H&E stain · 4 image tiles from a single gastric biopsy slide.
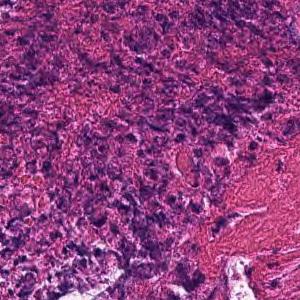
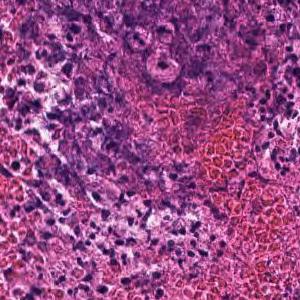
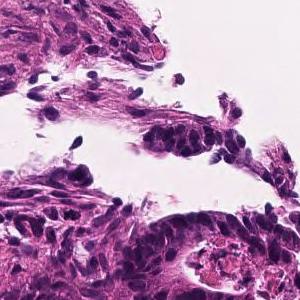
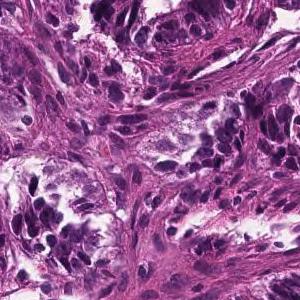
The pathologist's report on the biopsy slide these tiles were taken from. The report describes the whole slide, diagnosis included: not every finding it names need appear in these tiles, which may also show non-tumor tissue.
In the superficial epithelium, tumor tissue that invades by forming medium-sized to small, irregular ducts is observed. moderately differentiated tubular adenocarcinoma.
